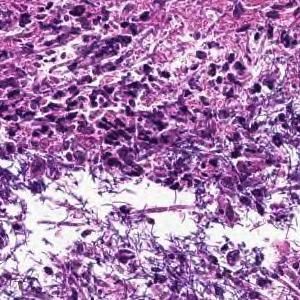
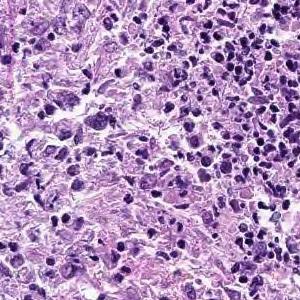
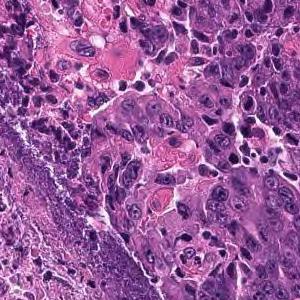
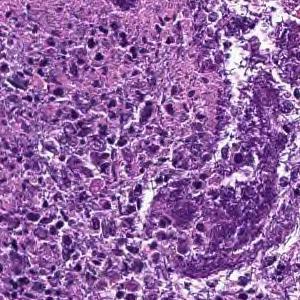
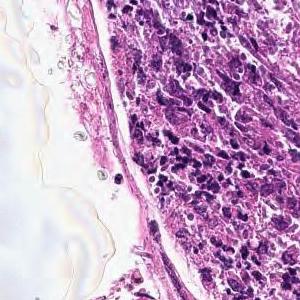
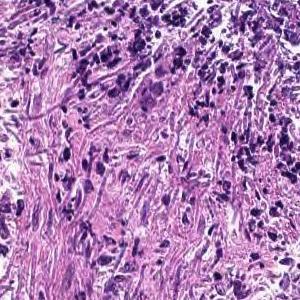
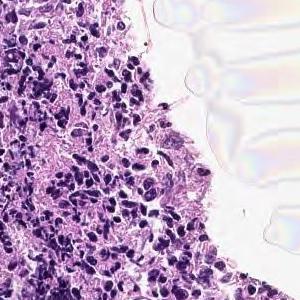
7 patches cut from one gastric biopsy slide.
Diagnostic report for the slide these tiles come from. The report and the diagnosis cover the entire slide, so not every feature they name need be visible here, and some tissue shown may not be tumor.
Cancers with polygonal nuclei do not show glandular formation and are densely, in part, cord-like and proliferate. Poorly differentiated adenocarcinoma
Histologic type: Poorly differentiated adenocarcinoma, non-solid type.
The non-solid type named here is a Japanese Classification of Gastric Carcinoma category.
